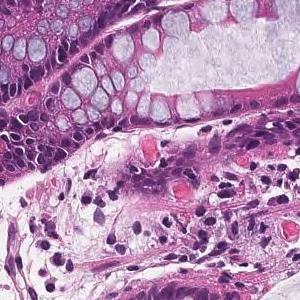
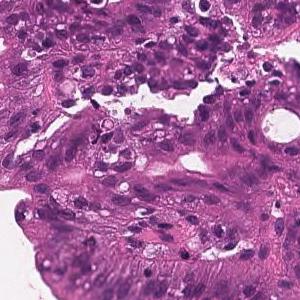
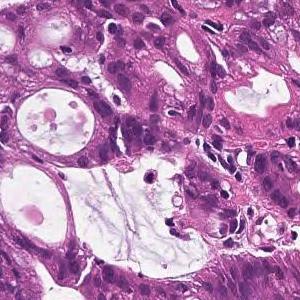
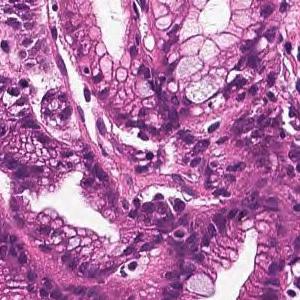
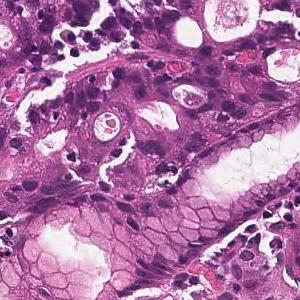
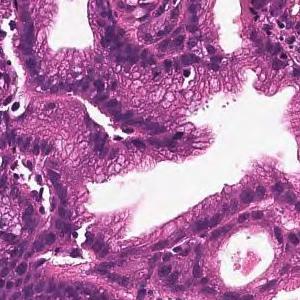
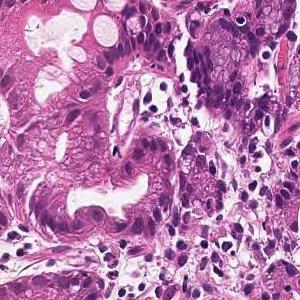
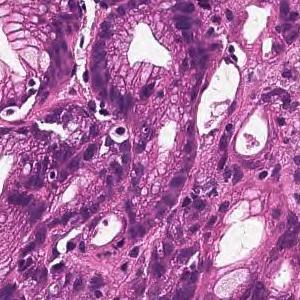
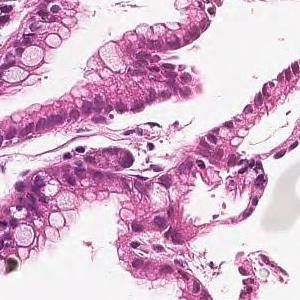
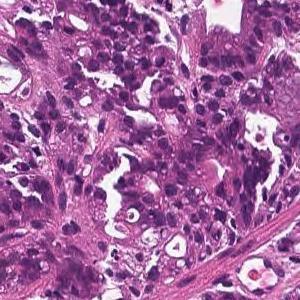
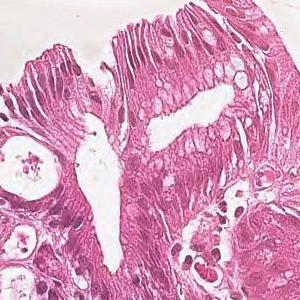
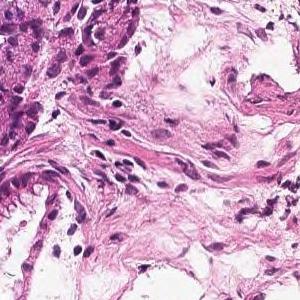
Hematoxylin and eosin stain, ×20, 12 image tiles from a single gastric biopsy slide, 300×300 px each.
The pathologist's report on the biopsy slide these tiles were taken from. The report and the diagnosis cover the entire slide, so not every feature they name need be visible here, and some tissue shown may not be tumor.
In the superficial epithelium, tumor tissue that invades by forming medium-sized to small, irregular ducts is observed. moderately differentiated tubular adenocarcinoma.
